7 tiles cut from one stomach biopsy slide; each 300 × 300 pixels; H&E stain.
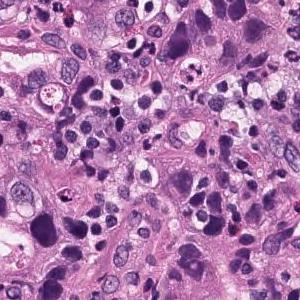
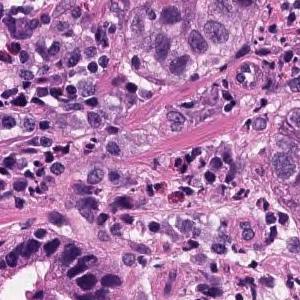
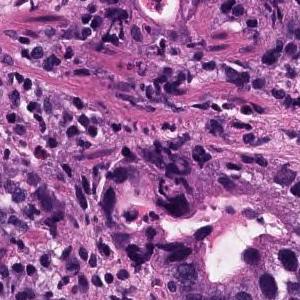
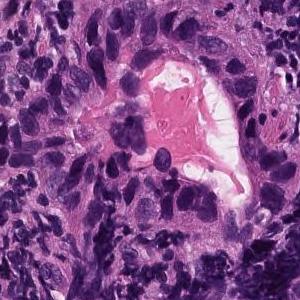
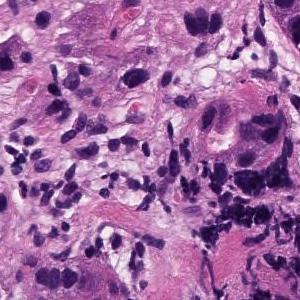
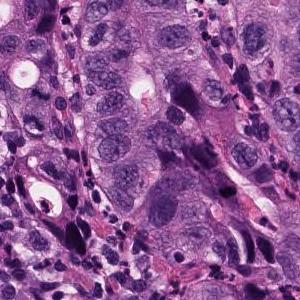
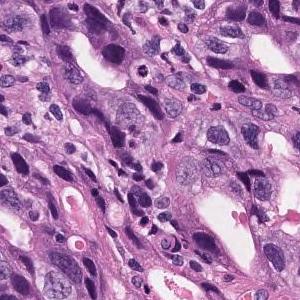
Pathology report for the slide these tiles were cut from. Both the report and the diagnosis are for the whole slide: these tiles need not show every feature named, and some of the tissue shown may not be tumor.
In the superficial epithelium, tumor tissue that invades by forming medium-sized to small, irregular ducts is observed. Moderately differentiated adenocarcinoma.
Histologic type: Moderately differentiated tubular adenocarcinoma.
